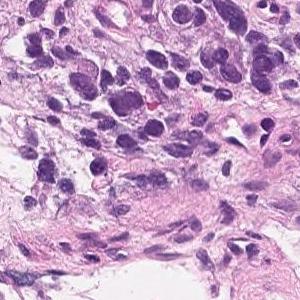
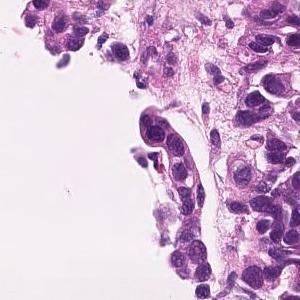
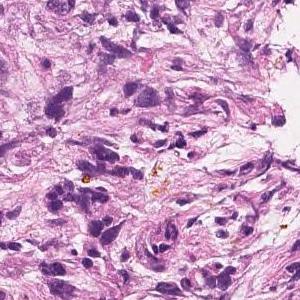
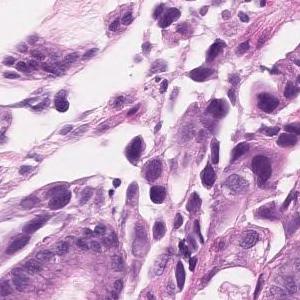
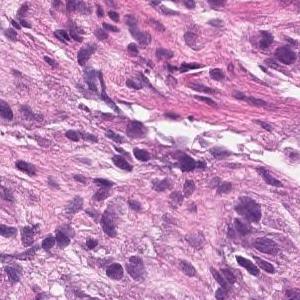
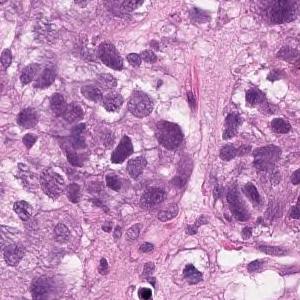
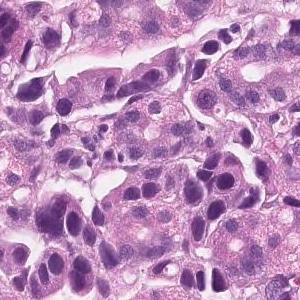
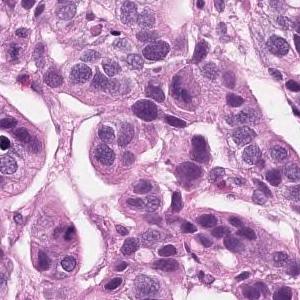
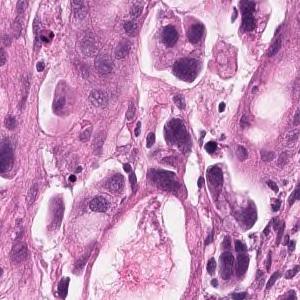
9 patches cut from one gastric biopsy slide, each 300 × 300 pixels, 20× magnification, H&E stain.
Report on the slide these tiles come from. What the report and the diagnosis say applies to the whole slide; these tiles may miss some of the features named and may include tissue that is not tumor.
Tumor tissue that infiltrates the epithelium in an alveolar manner. Poorly differentiated adenocarcinoma, solid-type
Subtype: Poorly differentiated adenocarcinoma, solid type (Japanese Classification of Gastric Carcinoma). The WHO 2019 equivalent is tubular adenocarcinoma, poorly differentiated.
